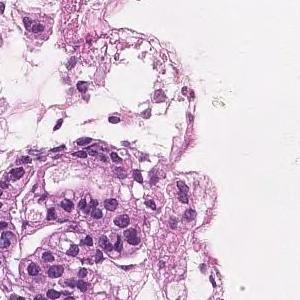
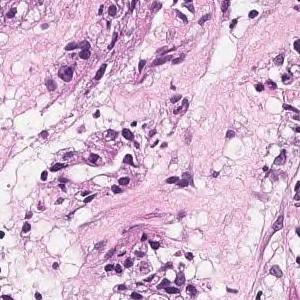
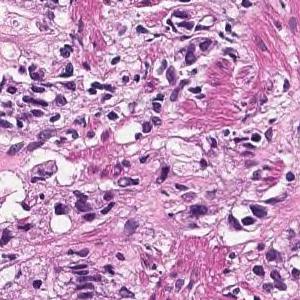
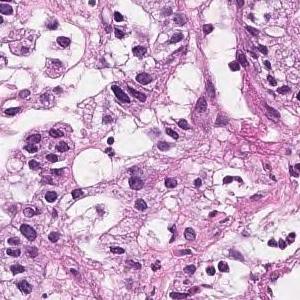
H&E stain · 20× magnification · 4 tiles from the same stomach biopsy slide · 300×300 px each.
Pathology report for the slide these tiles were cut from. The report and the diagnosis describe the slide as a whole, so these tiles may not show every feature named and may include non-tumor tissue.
In the superficial epithelium, tumor tissue that invades by forming medium-sized to small, irregular ducts is observed. moderately differentiated tubular adenocarcinoma.
